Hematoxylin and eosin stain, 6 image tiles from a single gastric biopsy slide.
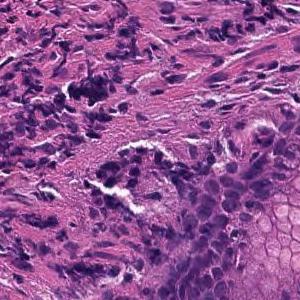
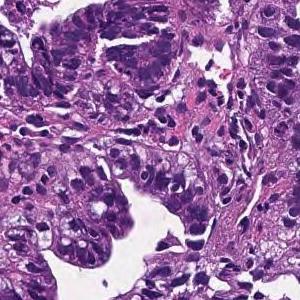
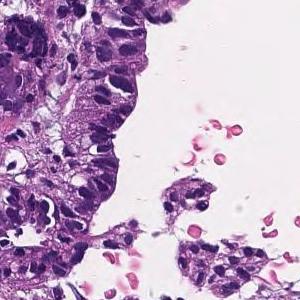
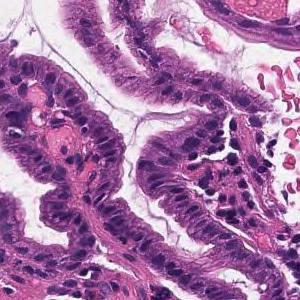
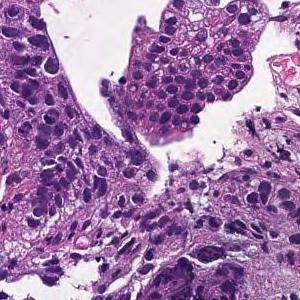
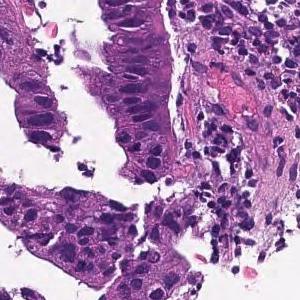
Pathology report for the biopsy slide these tiles were cut from. The report and the diagnosis describe the slide as a whole, so these tiles may not show every feature named and may include non-tumor tissue.
From the superficial epithelium to the muscularis mucosae, tumor tissue consisting of medium-sized and irregular glandular ducts infiltrating is observed. Well differentiated tubular adenocarcinoma
